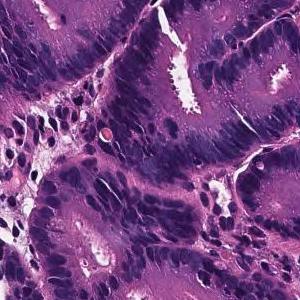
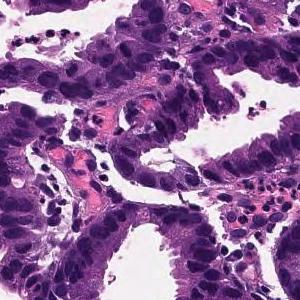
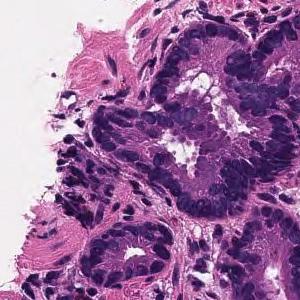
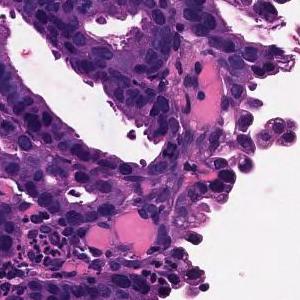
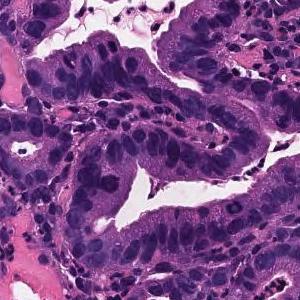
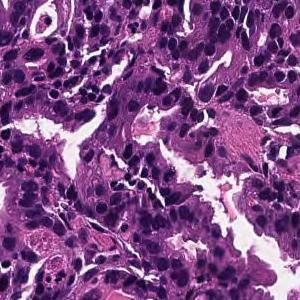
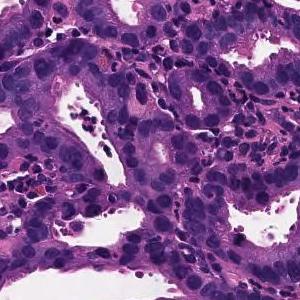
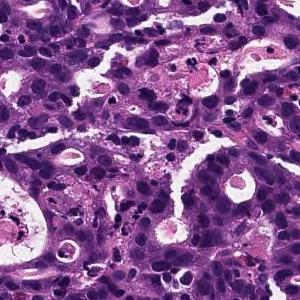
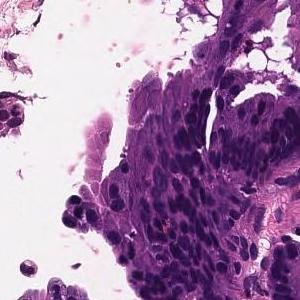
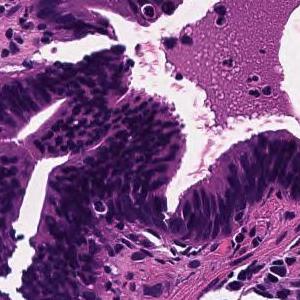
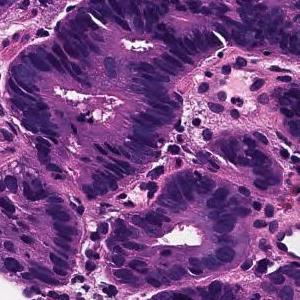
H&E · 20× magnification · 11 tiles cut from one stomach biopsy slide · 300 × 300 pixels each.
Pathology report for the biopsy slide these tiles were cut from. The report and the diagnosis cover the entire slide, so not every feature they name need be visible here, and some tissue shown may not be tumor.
On the superficial epithelium, tumor tissue is found in which medium-sized irregular gland ducts fuse with each other and infiltrate. moderately differentiated tubular adenocarcinoma
